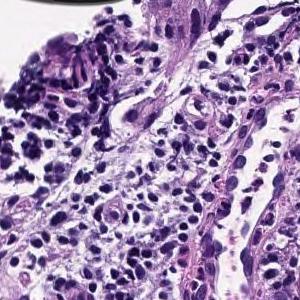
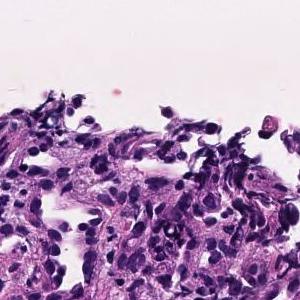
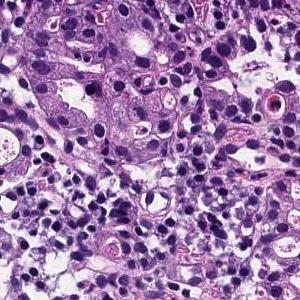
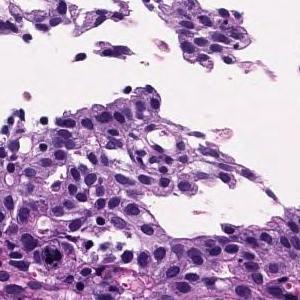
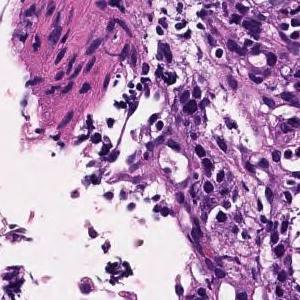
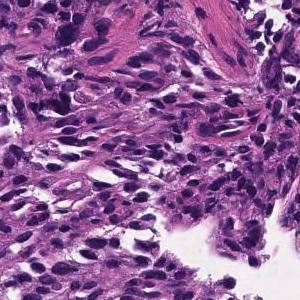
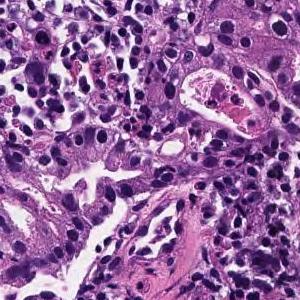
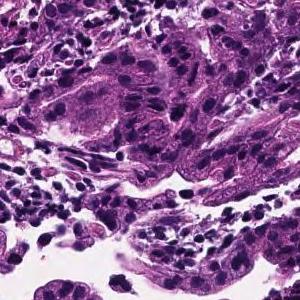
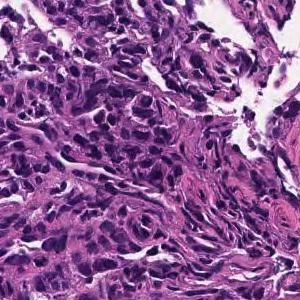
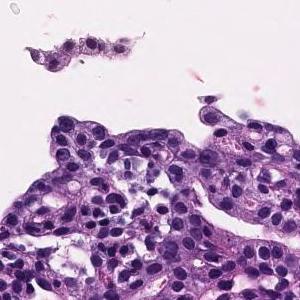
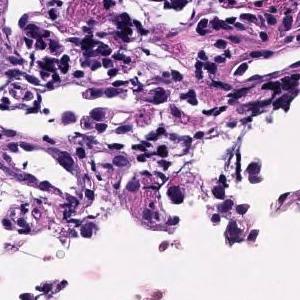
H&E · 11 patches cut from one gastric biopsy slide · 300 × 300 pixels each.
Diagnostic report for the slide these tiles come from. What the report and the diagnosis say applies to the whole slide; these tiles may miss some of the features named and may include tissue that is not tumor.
Medium to small, irregular glandular ducts are formed in the superficial epithelium, and in some cases, the glandular ducts are fused to show solid alveolar lesions and infiltrating tumor tissue is observed. Moderately to poorly differentiated adenocarcinoma.
